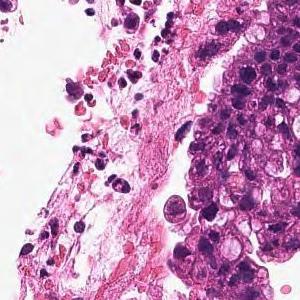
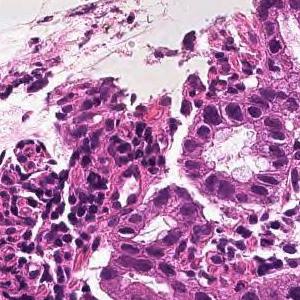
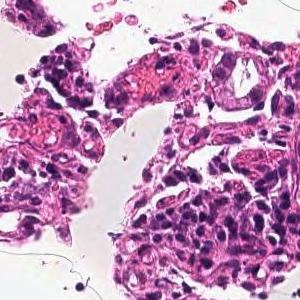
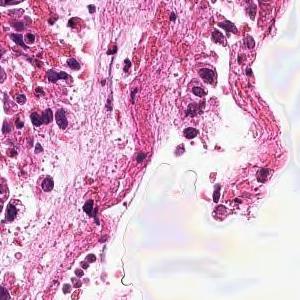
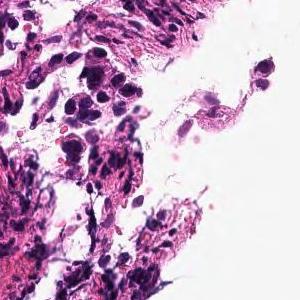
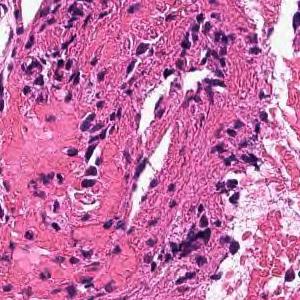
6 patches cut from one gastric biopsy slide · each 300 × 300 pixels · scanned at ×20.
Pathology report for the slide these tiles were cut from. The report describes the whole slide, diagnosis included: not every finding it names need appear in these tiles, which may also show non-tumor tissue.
From the superficial epithelium to the muscularis mucosae, tumor tissue infiltrating by forming medium-sized irregular gland ducts is observed. Well differentiated tubular adenocarcinoma
